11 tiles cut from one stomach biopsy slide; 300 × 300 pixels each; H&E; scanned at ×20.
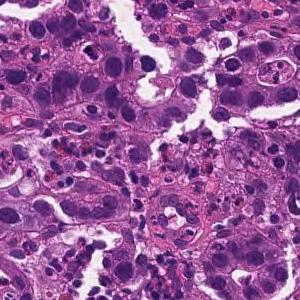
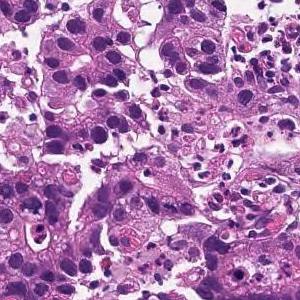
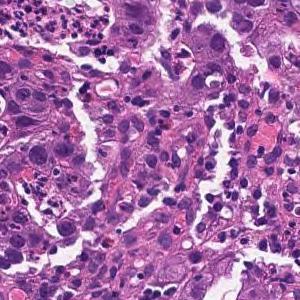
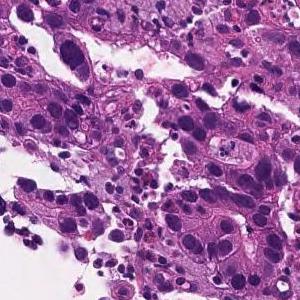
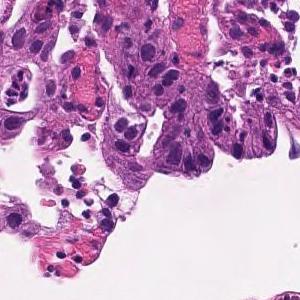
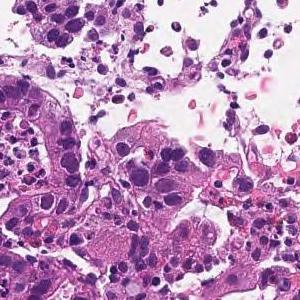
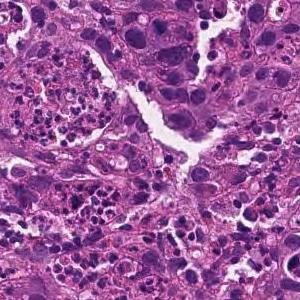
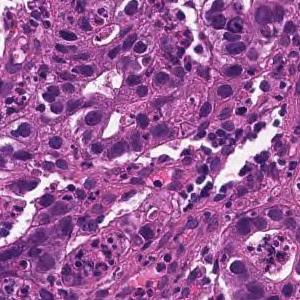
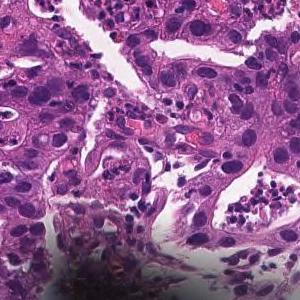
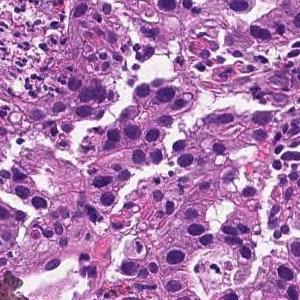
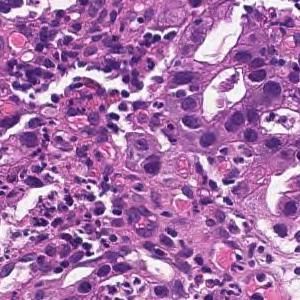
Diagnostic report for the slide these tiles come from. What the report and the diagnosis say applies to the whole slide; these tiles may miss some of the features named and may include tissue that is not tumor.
Medium to small, irregular glandular ducts are formed in the superficial epithelium, and in some cases, the glandular ducts are fused to show solid alveolar lesions and infiltrating tumor tissue is observed. Moderately to poorly differentiated adenocarcinoma.
